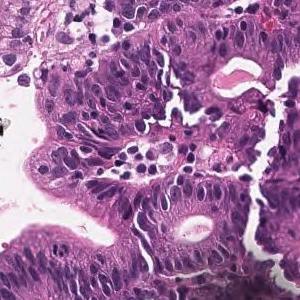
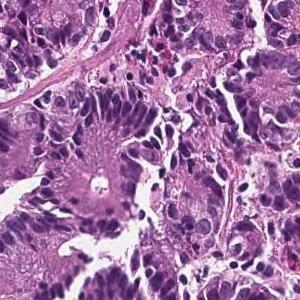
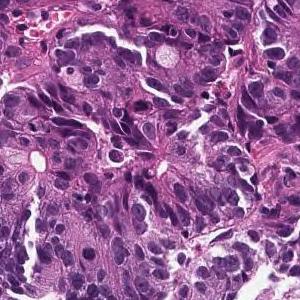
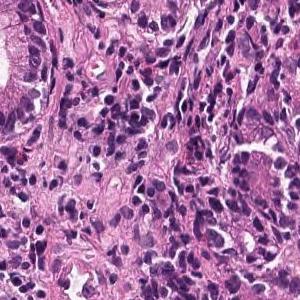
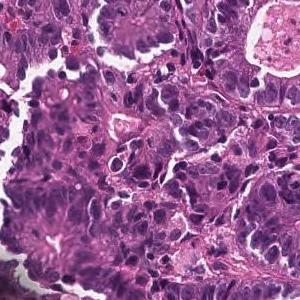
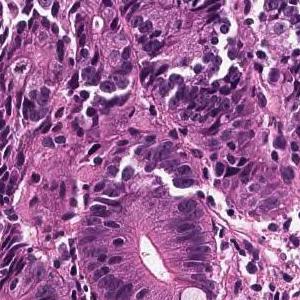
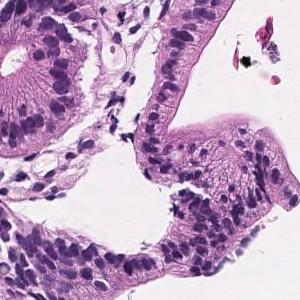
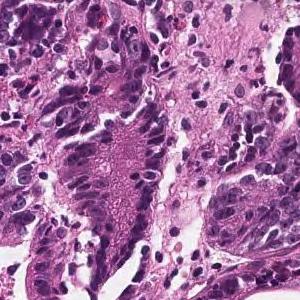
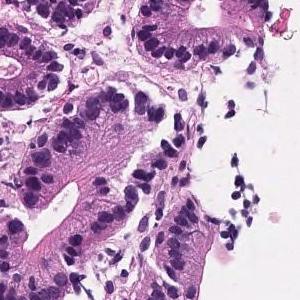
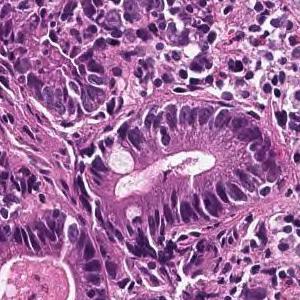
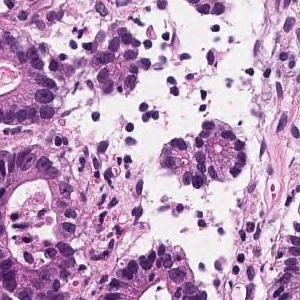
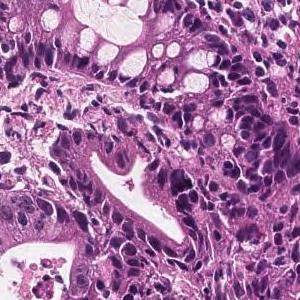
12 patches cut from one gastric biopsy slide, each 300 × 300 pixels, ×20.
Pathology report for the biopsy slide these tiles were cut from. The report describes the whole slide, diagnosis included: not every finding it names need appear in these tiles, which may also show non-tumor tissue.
In the superficial epithelium, tumor tissue that invades by forming medium-sized to small, irregular ducts is observed. Moderately differentiated adenocarcinoma.
Tumor subtype: moderately differentiated tubular adenocarcinoma.
